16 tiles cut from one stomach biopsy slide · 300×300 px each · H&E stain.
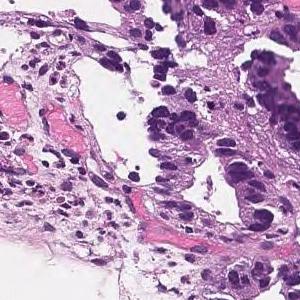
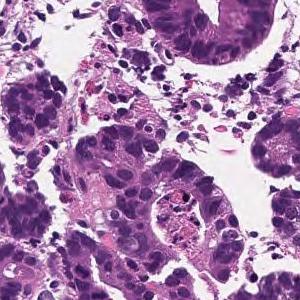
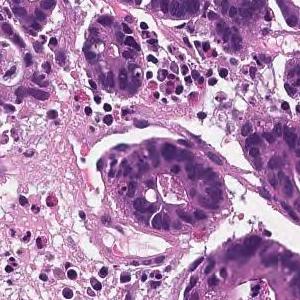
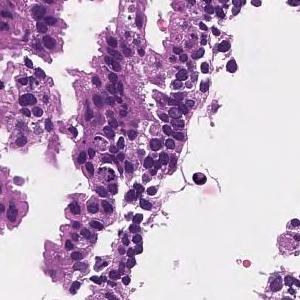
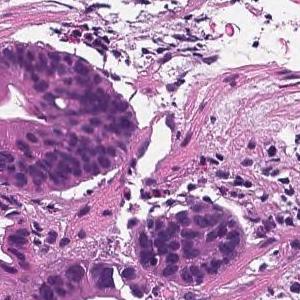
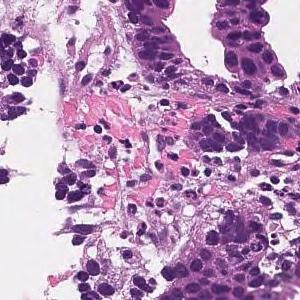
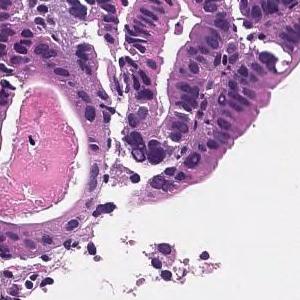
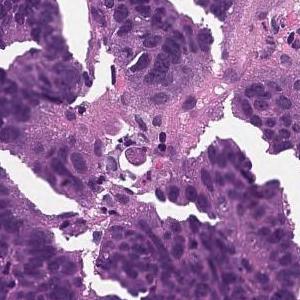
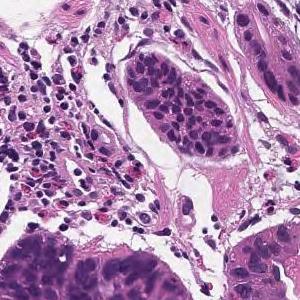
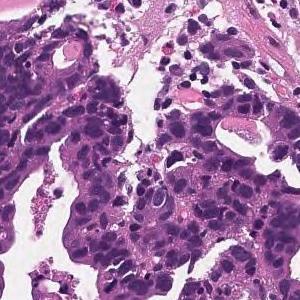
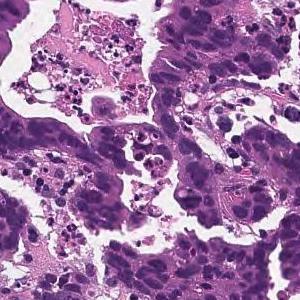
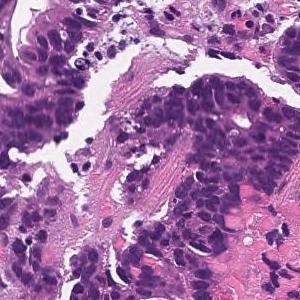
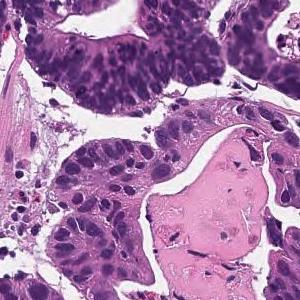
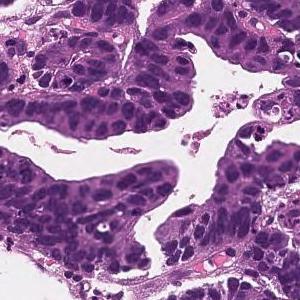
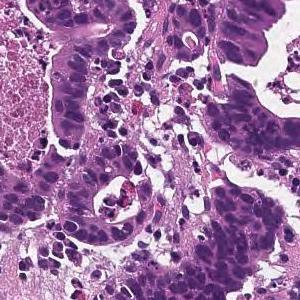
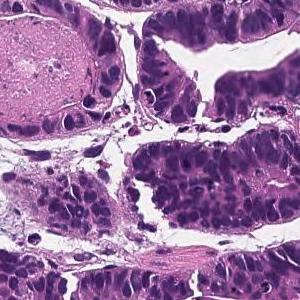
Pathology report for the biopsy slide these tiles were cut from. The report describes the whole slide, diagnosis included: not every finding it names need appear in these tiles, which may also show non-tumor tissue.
In the superficial epithelium, tumor tissue that invades by forming medium-sized to small, irregular ducts is observed. moderately differentiated tubular adenocarcinoma.
